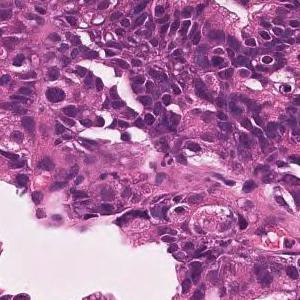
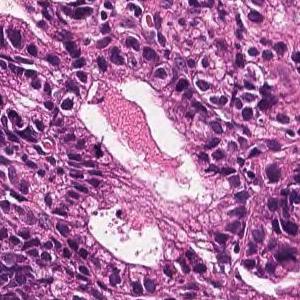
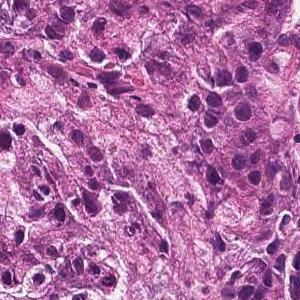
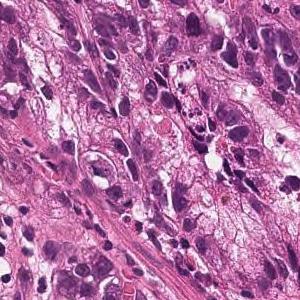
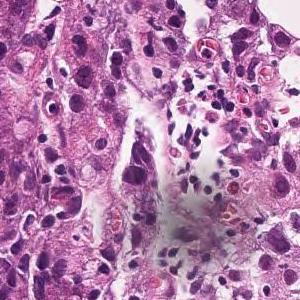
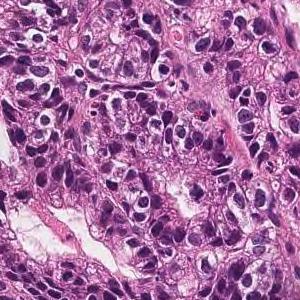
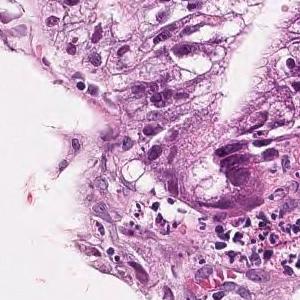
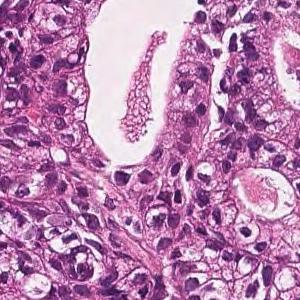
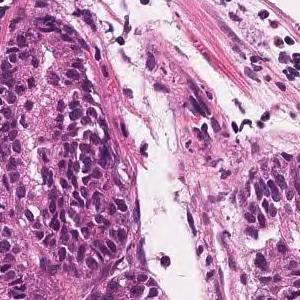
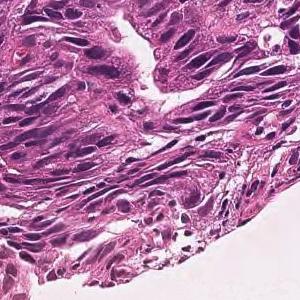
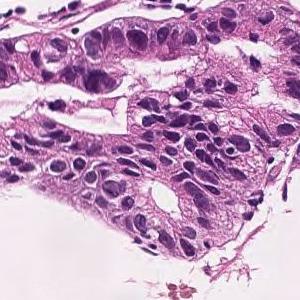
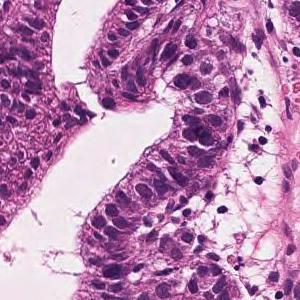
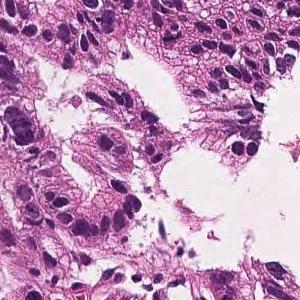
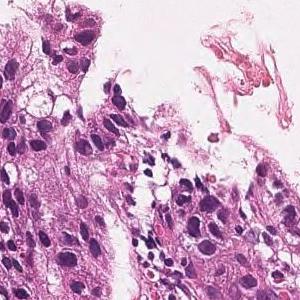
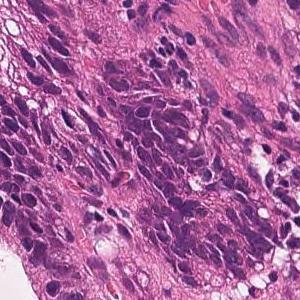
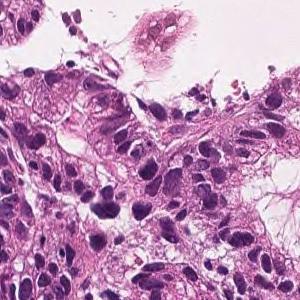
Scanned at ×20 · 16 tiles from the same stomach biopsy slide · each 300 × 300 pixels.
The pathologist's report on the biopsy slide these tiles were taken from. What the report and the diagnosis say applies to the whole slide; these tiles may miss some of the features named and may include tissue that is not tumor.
On the superficial epithelium, tumor tissue consisting of large, irregular glandular ducts partially fused and infiltrated is observed. Well to moderately differentiated tubular adenocarcinoma (well differentiated tubular adenocarcinoma, moderately differentiated tubular adenocarcinoma)
Classified as well to moderately differentiated tubular adenocarcinoma.
